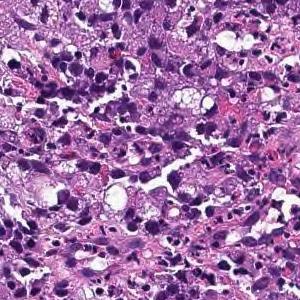
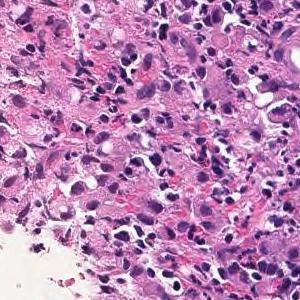
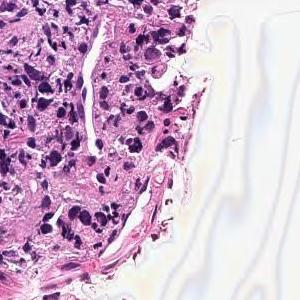
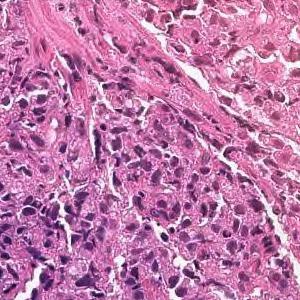
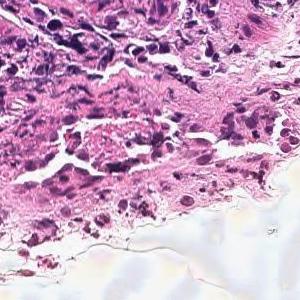
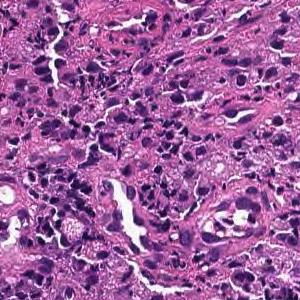
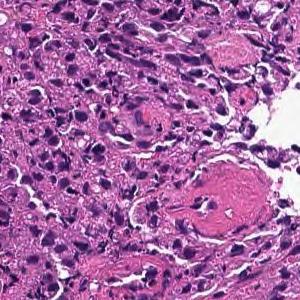
7 image tiles from a single gastric biopsy slide · H&E.
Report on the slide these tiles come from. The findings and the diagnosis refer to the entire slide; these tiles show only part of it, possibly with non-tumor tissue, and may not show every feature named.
Tumor tissue consisting of diffusely infiltrated large atypical epithelial cells or signet ring atypical cells is observed in the superficial epithelium. Poorly differentiated adenocarcinoma, solid-type
Tumor subtype: poorly differentiated adenocarcinoma, solid type (Japanese Classification of Gastric Carcinoma). The WHO 2019 equivalent is tubular adenocarcinoma, poorly differentiated.
